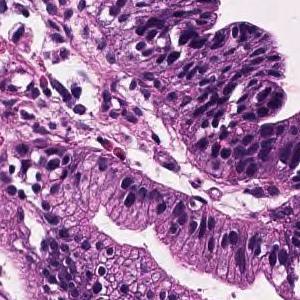
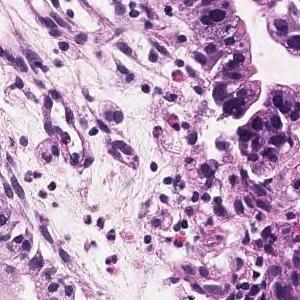
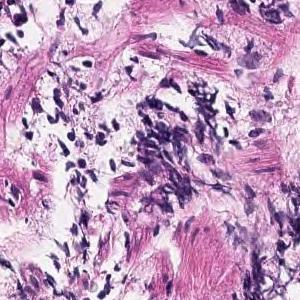
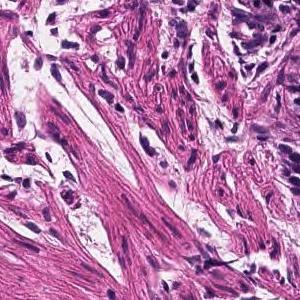
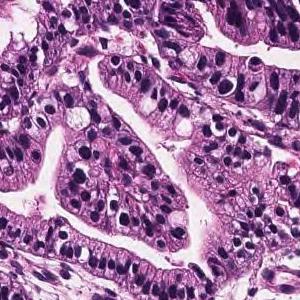
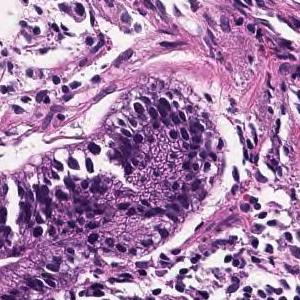
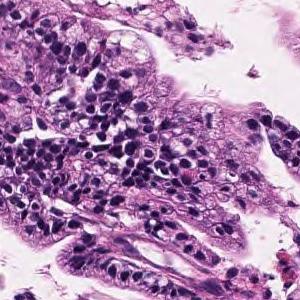
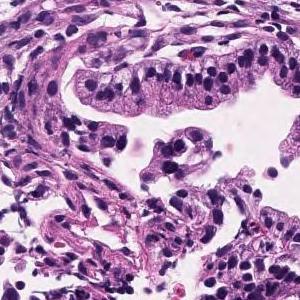
8 patches cut from one gastric biopsy slide, each 300 × 300 pixels, ×20.
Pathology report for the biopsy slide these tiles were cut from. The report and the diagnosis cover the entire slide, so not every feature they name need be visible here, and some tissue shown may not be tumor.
Tumor tissue consisting of large papillary structures or irregular glandular ducts partially fused and infiltrated is observed in the superficial epithelium. Well to moderately differentiated tubular adenocarcinoma.
Labeled in the dataset as moderately differentiated tubular adenocarcinoma.
